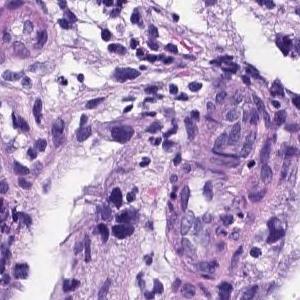
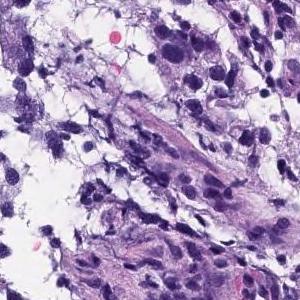
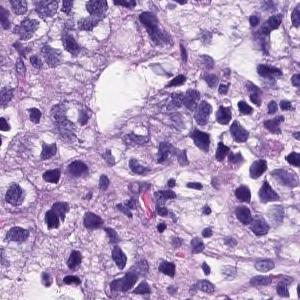
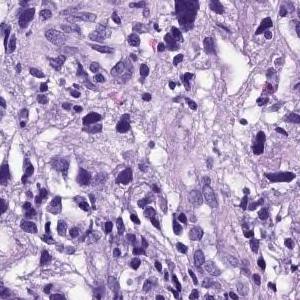
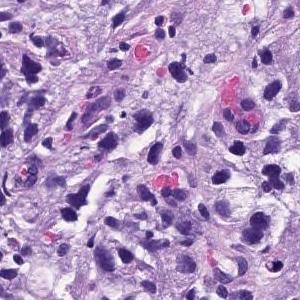
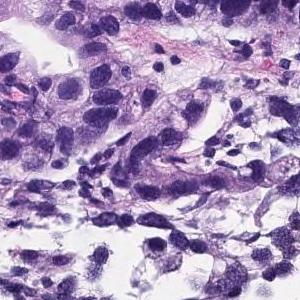
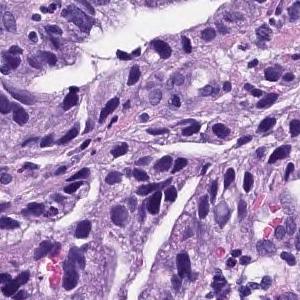
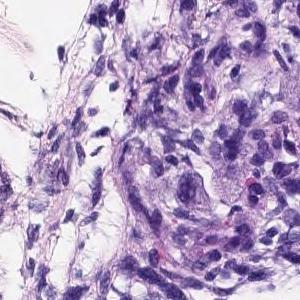
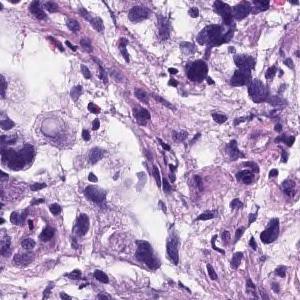
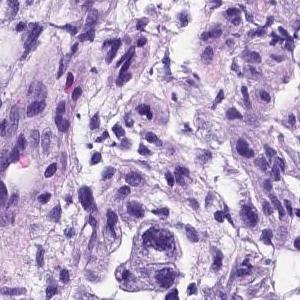
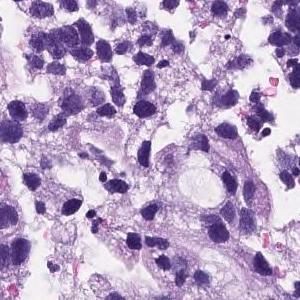
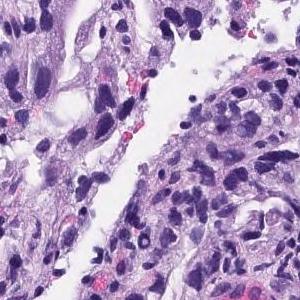
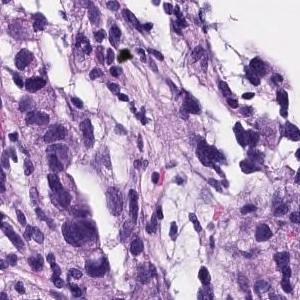
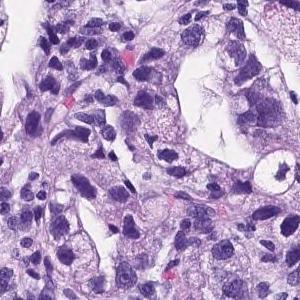
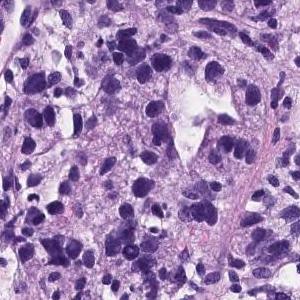
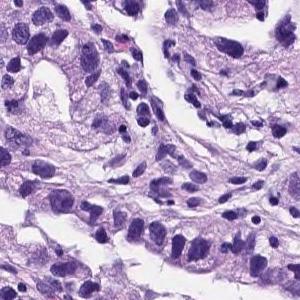
16 tiles cut from one stomach biopsy slide; each 300 × 300 pixels.
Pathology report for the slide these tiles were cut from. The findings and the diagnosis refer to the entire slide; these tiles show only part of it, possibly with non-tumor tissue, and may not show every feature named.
Medium to small, irregular glandular ducts are formed in the superficial epithelium, and in some cases, the glandular ducts are fused to show solid alveolar lesions and infiltrating tumor tissue is observed. Poorly differentiated adenocarcinoma, Moderately differentiated adenocarcinoma.
The dataset labels this slide moderately differentiated tubular adenocarcinoma.
